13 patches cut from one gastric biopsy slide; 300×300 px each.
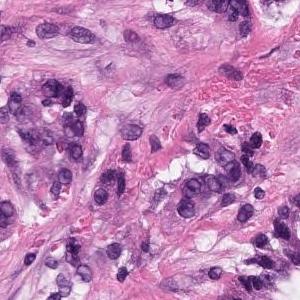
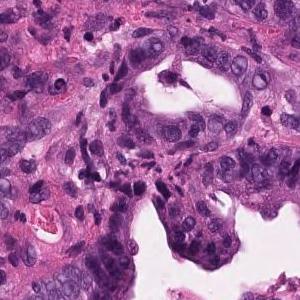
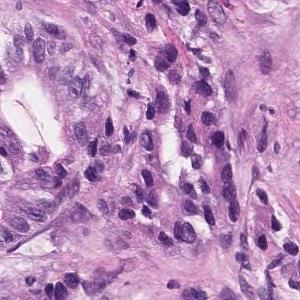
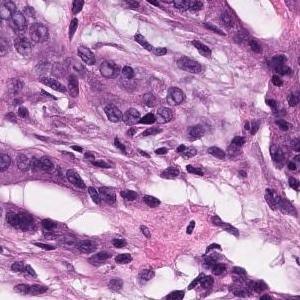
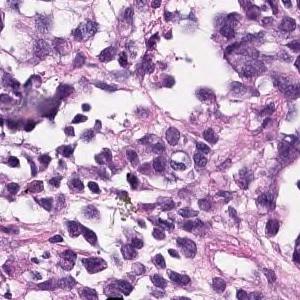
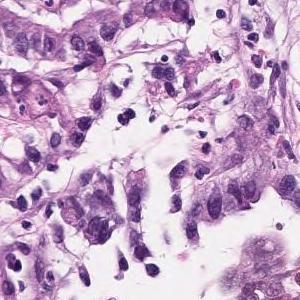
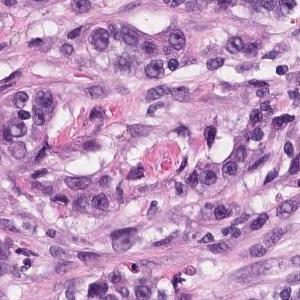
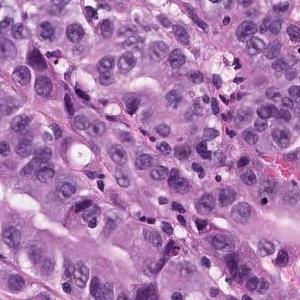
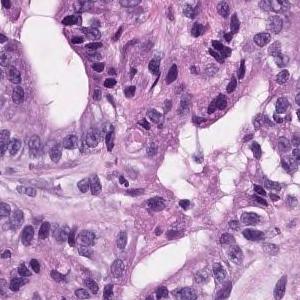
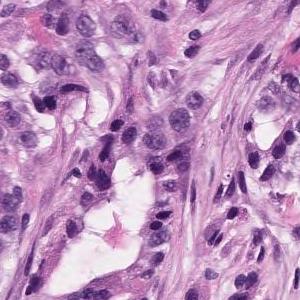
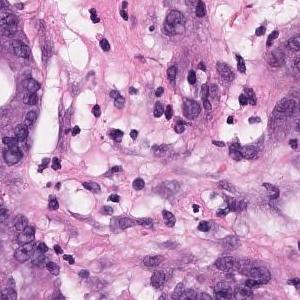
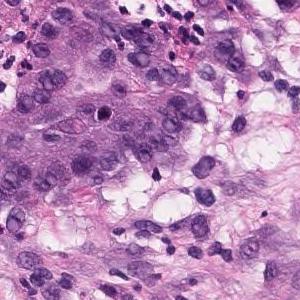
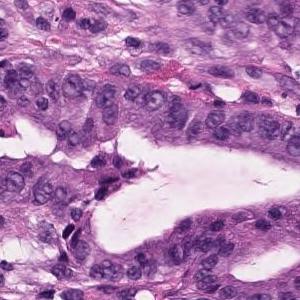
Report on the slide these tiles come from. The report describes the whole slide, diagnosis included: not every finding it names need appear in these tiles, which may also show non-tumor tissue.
In the superficial epithelium, tumor tissue that invades by forming medium-sized to small, irregular ducts is observed. Moderately differentiated adenocarcinoma.
Histologic type: Moderately differentiated tubular adenocarcinoma.
